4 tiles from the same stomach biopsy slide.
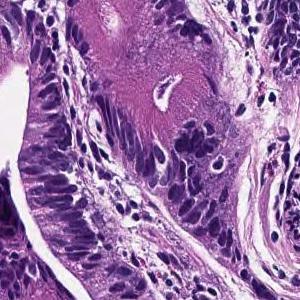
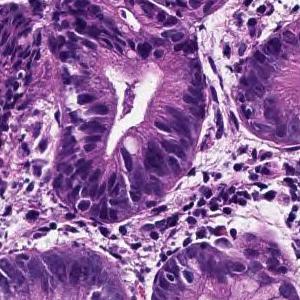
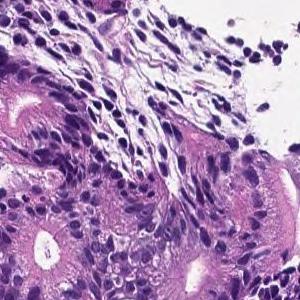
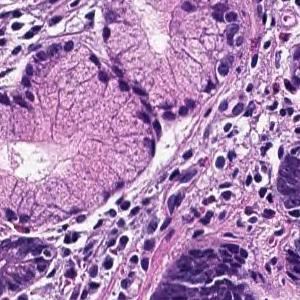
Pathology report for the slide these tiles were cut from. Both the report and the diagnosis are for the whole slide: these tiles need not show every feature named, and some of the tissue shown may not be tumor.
From the superficial epithelium to the muscularis mucosae, tumor tissue consisting of medium-sized and irregular glandular ducts infiltrating is observed. Well differentiated tubular adenocarcinoma
